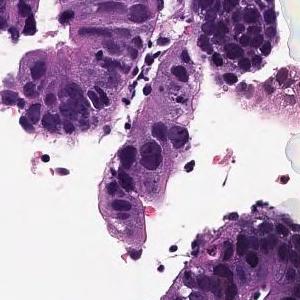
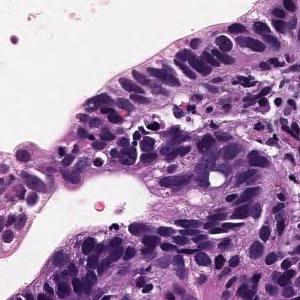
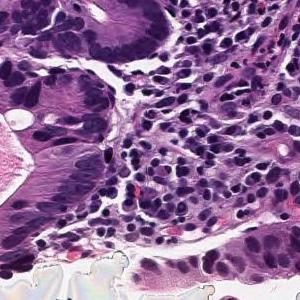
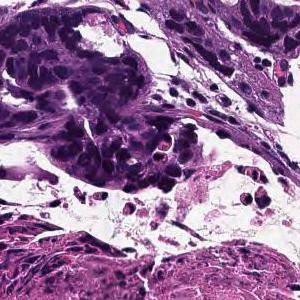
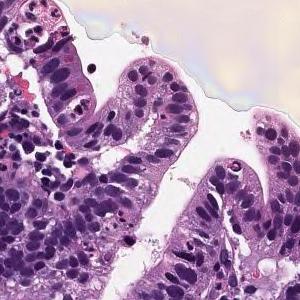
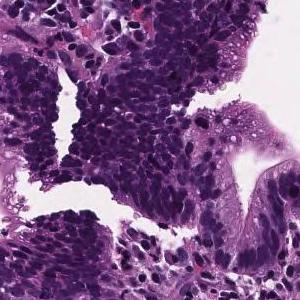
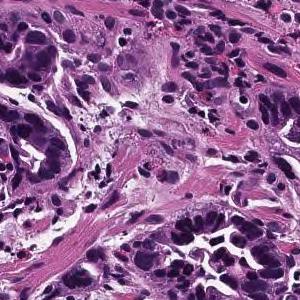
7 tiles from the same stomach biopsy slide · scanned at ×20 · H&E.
Pathology report for the biopsy slide these tiles were cut from. The report and the diagnosis cover the entire slide, so not every feature they name need be visible here, and some tissue shown may not be tumor.
From the superficial epithelium to the muscularis mucosae, tumor tissue consisting of medium-sized and irregular glandular ducts infiltrating is observed. Well differentiated tubular adenocarcinoma
